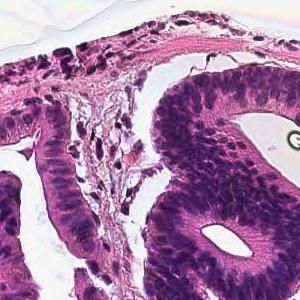
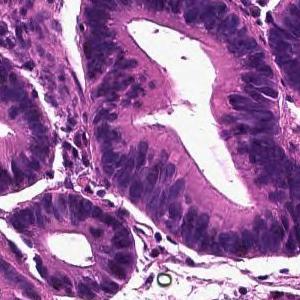
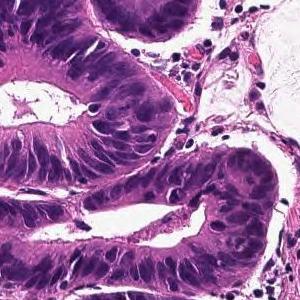
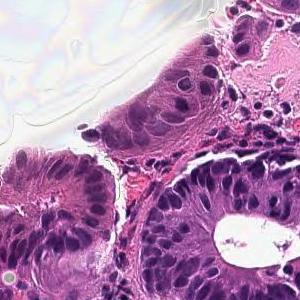
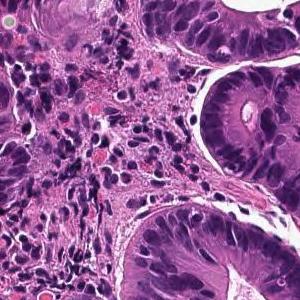
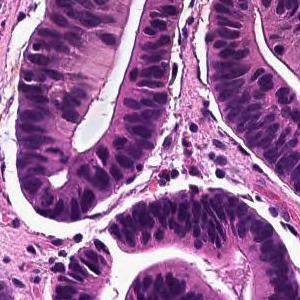
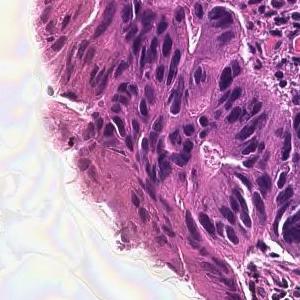
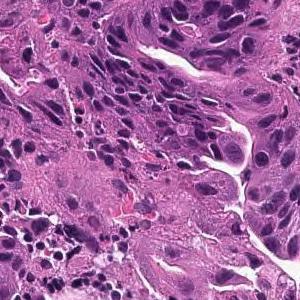
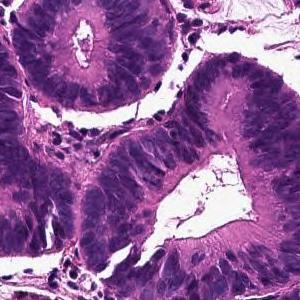
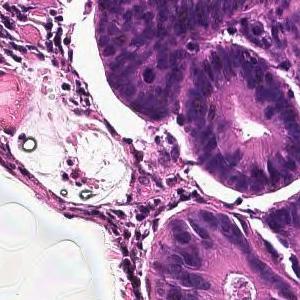
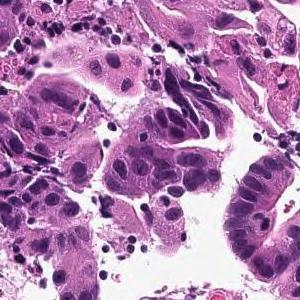
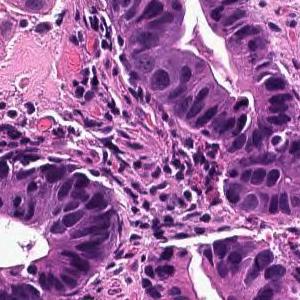
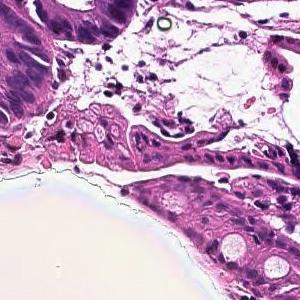
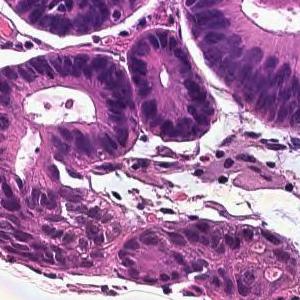
14 tiles from the same stomach biopsy slide · 300×300 px each · scanned at ×20.
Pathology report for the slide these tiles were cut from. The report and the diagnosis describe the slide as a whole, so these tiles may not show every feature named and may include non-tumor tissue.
From the superficial epithelium to the muscularis mucosae, tumor tissue consisting of medium-sized and irregular glandular ducts infiltrating is observed. Well differentiated tubular adenocarcinoma
